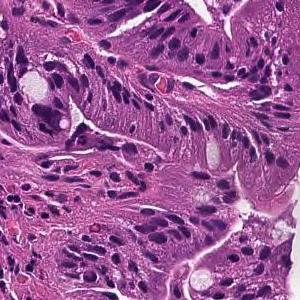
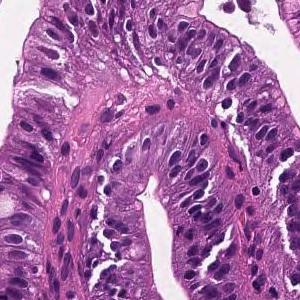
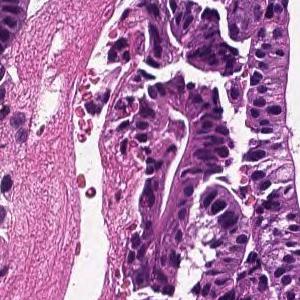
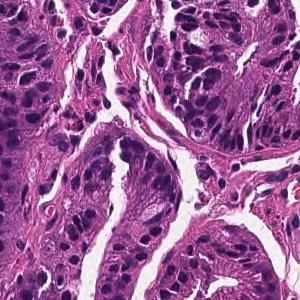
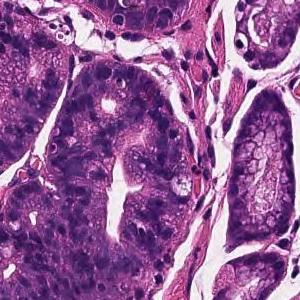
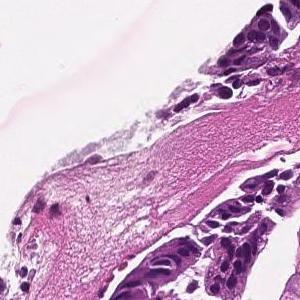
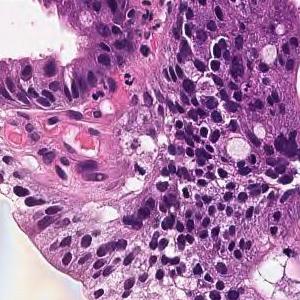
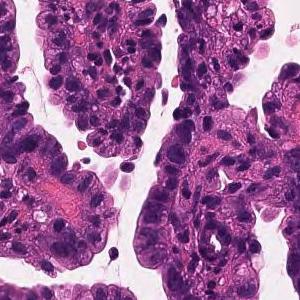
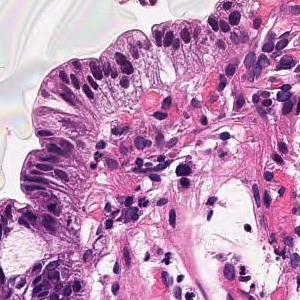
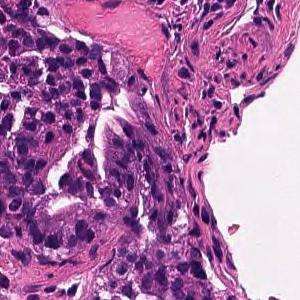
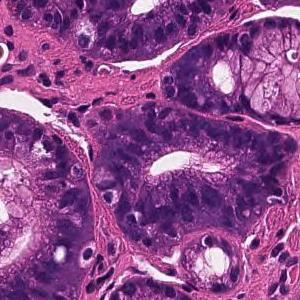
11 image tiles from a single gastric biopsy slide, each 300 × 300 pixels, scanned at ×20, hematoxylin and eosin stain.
Pathology report for the slide these tiles were cut from. The findings and the diagnosis refer to the entire slide; these tiles show only part of it, possibly with non-tumor tissue, and may not show every feature named.
On the superficial epithelium, tumor tissue that infiltrates by forming medium-sized papillary or small irregular ducts is observed. Papillary adenocarcinoma
